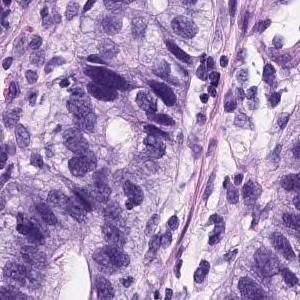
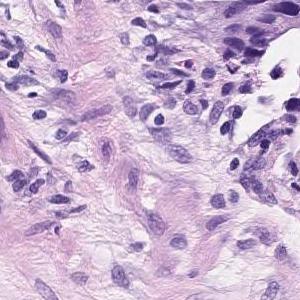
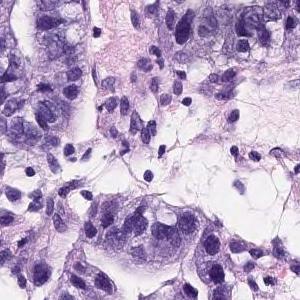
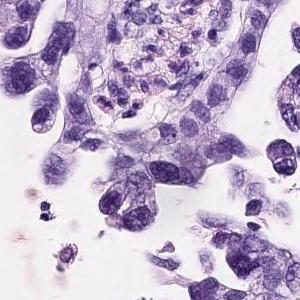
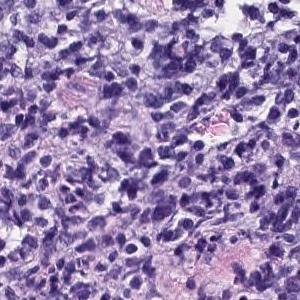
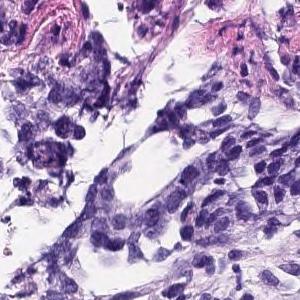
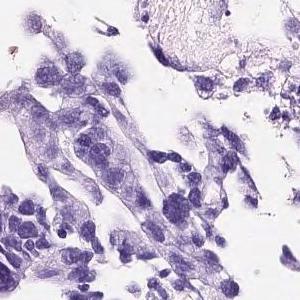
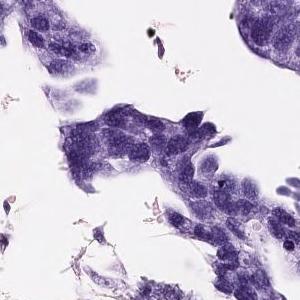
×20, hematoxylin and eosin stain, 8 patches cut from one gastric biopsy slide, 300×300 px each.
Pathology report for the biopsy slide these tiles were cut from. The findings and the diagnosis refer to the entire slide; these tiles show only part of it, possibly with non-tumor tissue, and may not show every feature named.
On the superficial epithelium, tumor tissue consisting of medium to small irregular tubules partially fused and proliferated is observed. moderately differentiated tubular adenocarcinoma
